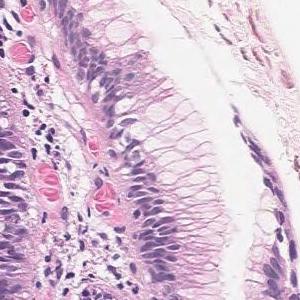
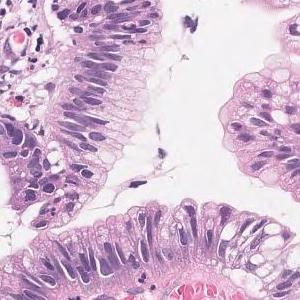
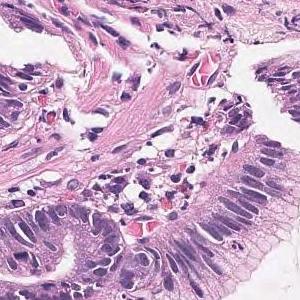
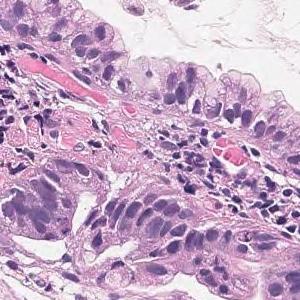
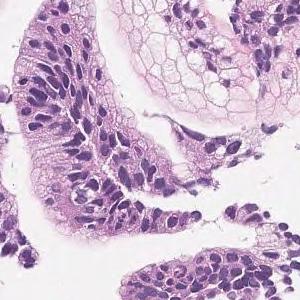
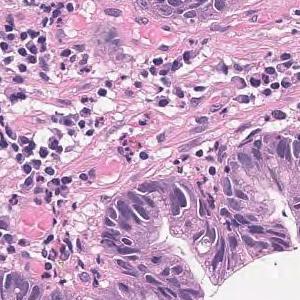
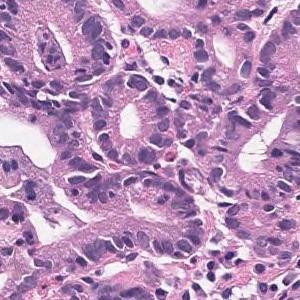
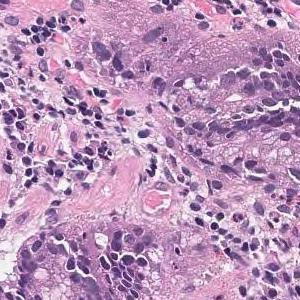
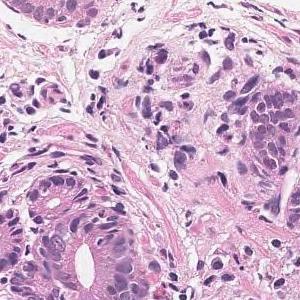
9 tiles from the same stomach biopsy slide.
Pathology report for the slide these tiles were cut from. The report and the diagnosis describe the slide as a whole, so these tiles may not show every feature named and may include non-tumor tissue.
Tumor tissue that grows tubular from the surface to the glandular fossa is seen. Adenocarcinoma.
Tumor subtype: well differentiated tubular adenocarcinoma.
